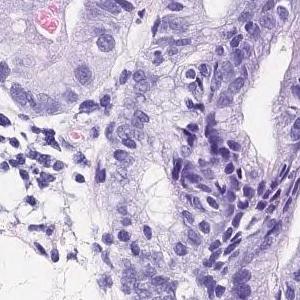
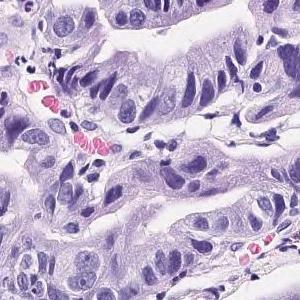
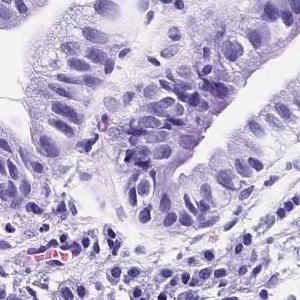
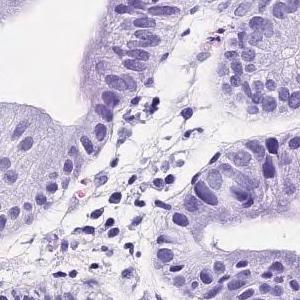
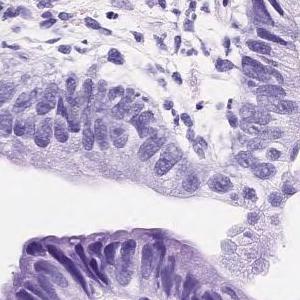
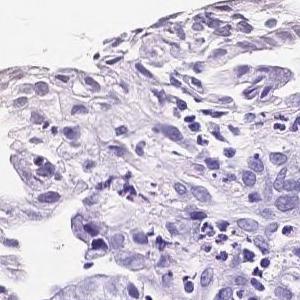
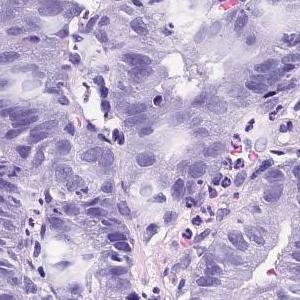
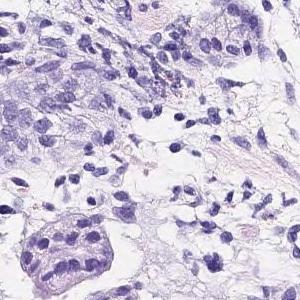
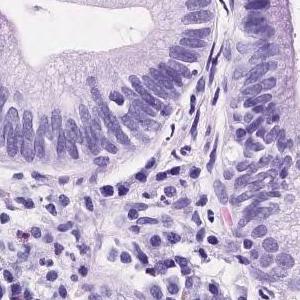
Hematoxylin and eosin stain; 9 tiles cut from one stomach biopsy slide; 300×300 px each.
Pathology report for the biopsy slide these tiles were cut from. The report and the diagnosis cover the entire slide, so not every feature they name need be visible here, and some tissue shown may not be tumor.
Tumor tissue consisting of medium-sized and irregular ducts is observed infiltrating in the superficial epithelium. Tumor cells are highly columnar, with nuclei aligned basolaterally and polarized. Well differentiated tubular adenocarcinoma.
